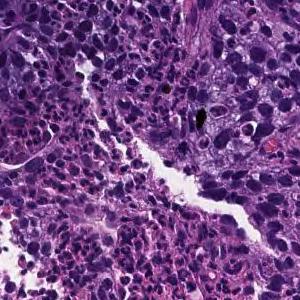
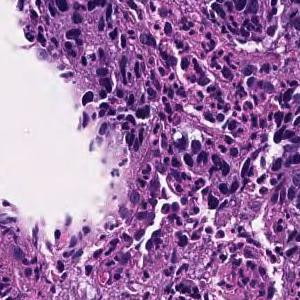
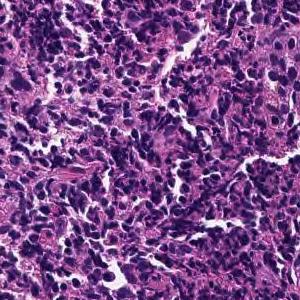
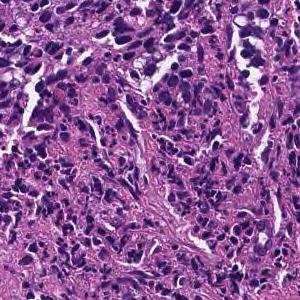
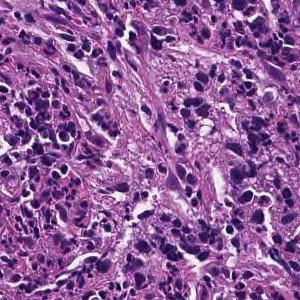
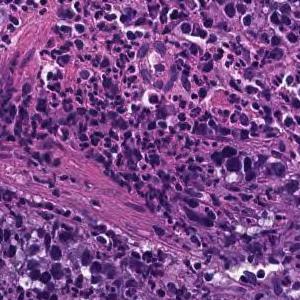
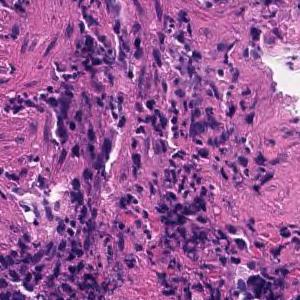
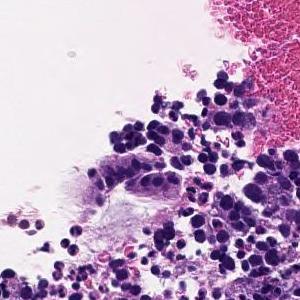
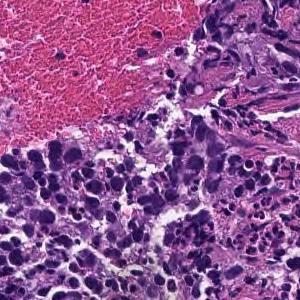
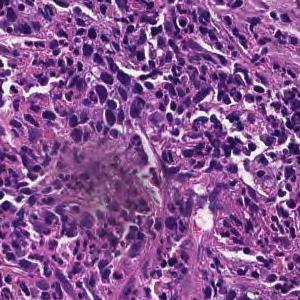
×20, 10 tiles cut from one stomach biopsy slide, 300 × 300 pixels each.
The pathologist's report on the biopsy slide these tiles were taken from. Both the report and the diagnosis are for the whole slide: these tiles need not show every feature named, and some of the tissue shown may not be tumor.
Tumor tissue consisting of cord-like or small, irregular glandular ducts fused and infiltrated is observed in the superficial epithelium. Poorly differentiated adenocarcinoma, non-solid type
The non-solid type named here is a Japanese Classification of Gastric Carcinoma category.
